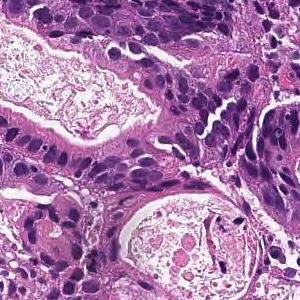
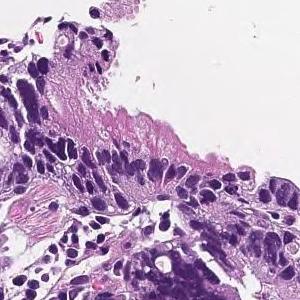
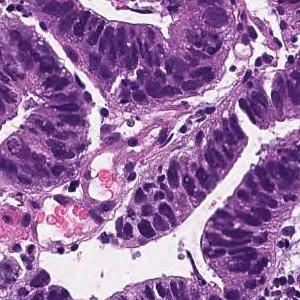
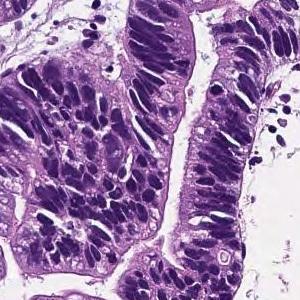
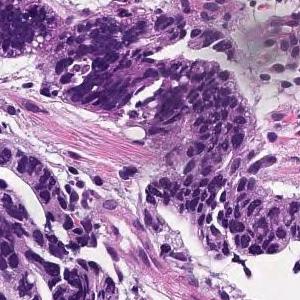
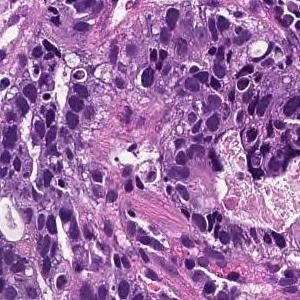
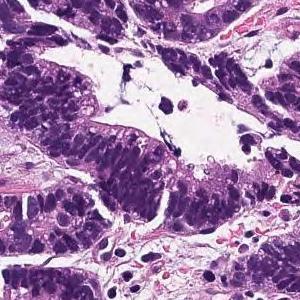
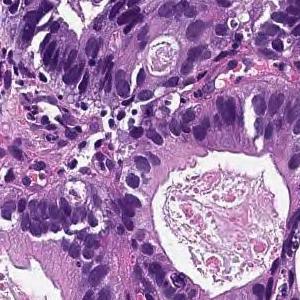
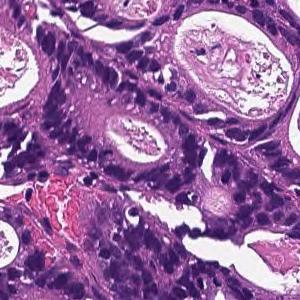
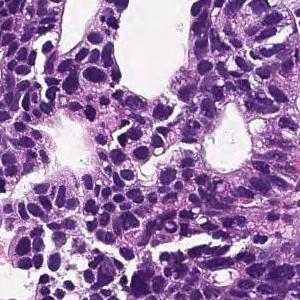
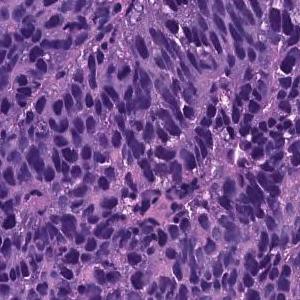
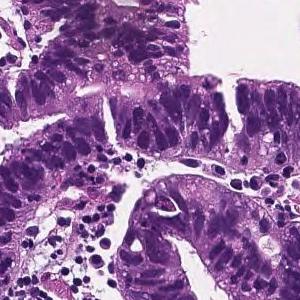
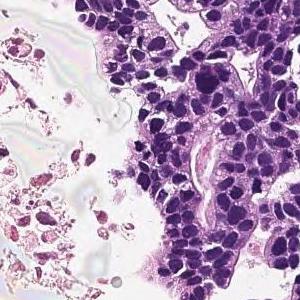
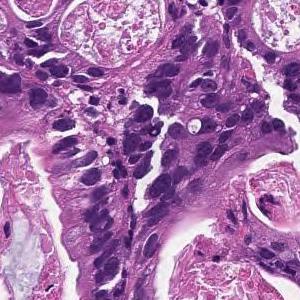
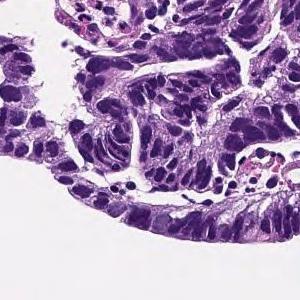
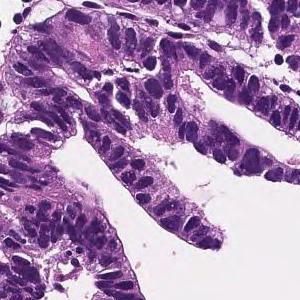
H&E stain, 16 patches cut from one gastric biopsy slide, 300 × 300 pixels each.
The pathologist's report on the biopsy slide these tiles were taken from. Both the report and the diagnosis are for the whole slide: these tiles need not show every feature named, and some of the tissue shown may not be tumor.
In the superficial epithelium, tumor tissue that invades by forming medium-sized to small, irregular ducts is observed. moderately differentiated tubular adenocarcinoma.
